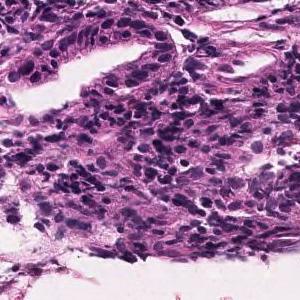
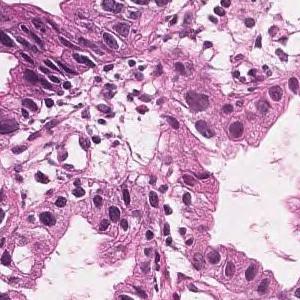
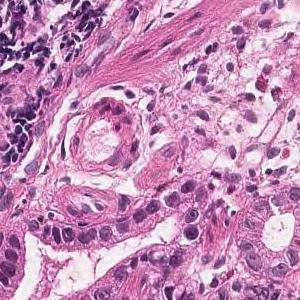
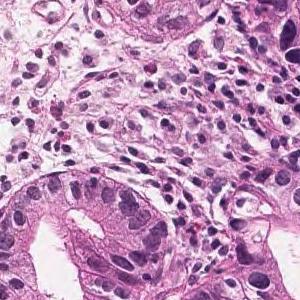
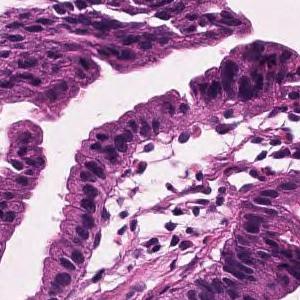
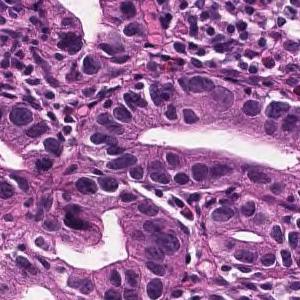
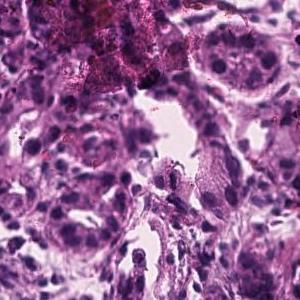
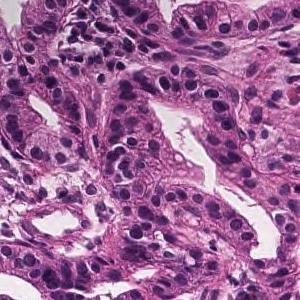
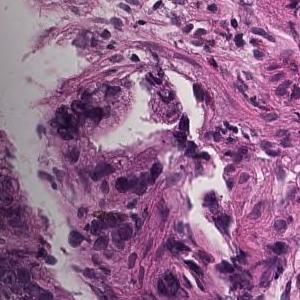
9 tiles from the same stomach biopsy slide, 300 × 300 pixels each, 20× magnification, H&E.
Report on the slide these tiles come from. The findings and the diagnosis refer to the entire slide; these tiles show only part of it, possibly with non-tumor tissue, and may not show every feature named.
Tumor tissue consisting of medium-sized and irregular ducts is observed infiltrating in the superficial epithelium. Tumor cells are highly columnar, with nuclei aligned basolaterally and polarized. Well differentiated tubular adenocarcinoma.
